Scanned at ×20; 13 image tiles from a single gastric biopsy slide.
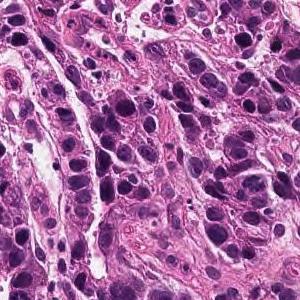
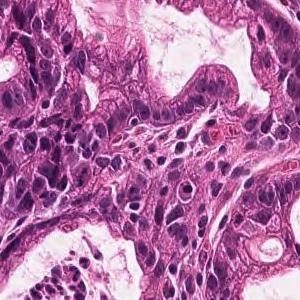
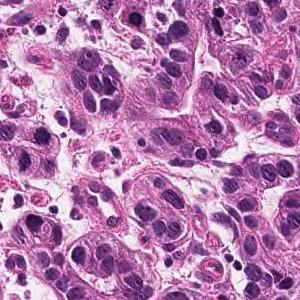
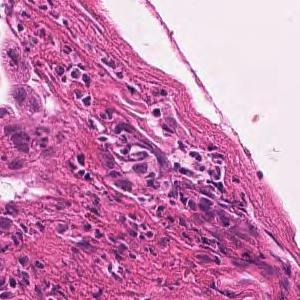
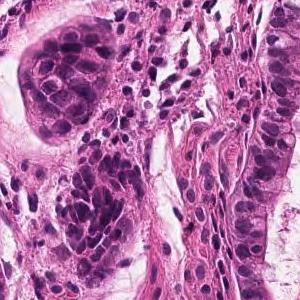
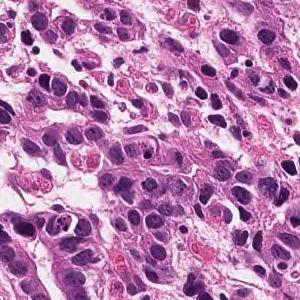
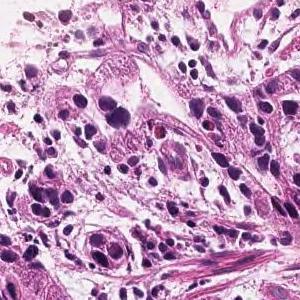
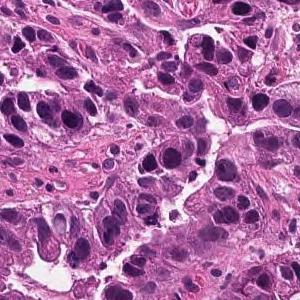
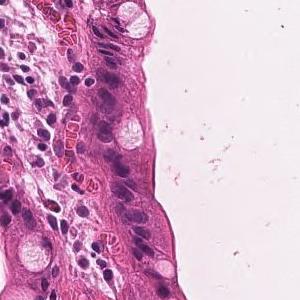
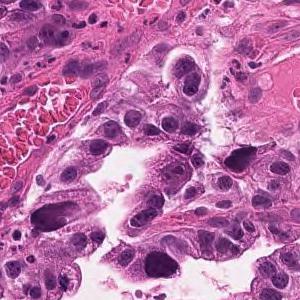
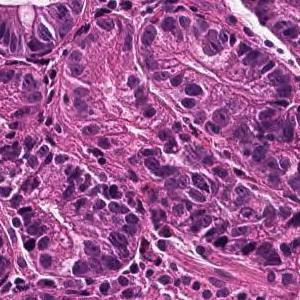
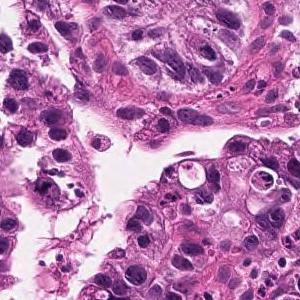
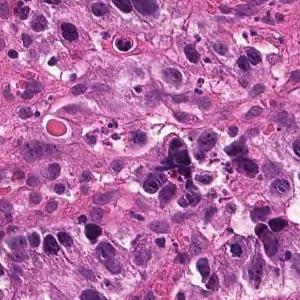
Report on the slide these tiles come from. Both the report and the diagnosis are for the whole slide: these tiles need not show every feature named, and some of the tissue shown may not be tumor.
Tumor tissue consisting of medium-sized, cord-like or irregular glandular infiltration is observed in the superficial epithelium. Poorly differentiated adenocarcinoma, non-solid type or moderately differentiated tubular adenocarcinoma
Histologic type: Moderately to poorly differentiated adenocarcinoma.
"Non-solid type" is a category of the Japanese Classification of Gastric Carcinoma.
